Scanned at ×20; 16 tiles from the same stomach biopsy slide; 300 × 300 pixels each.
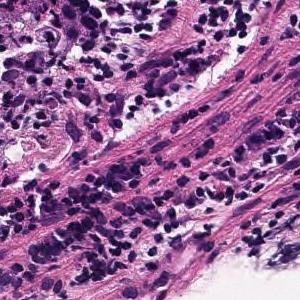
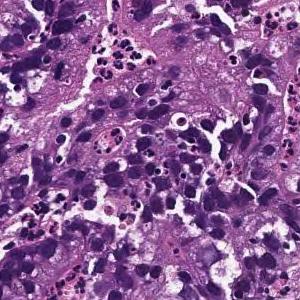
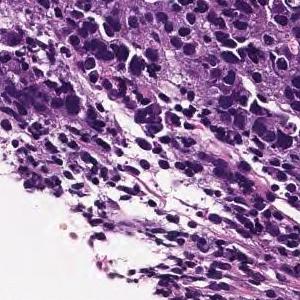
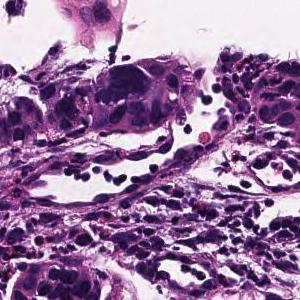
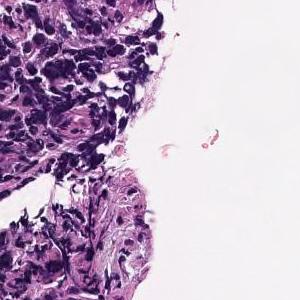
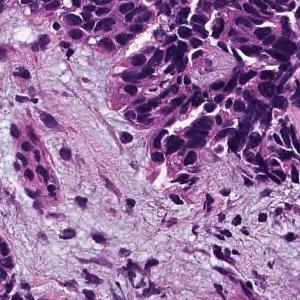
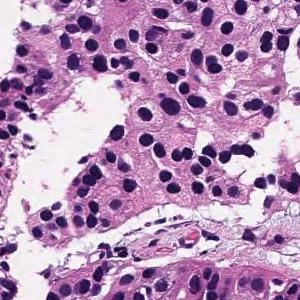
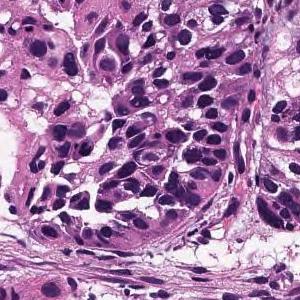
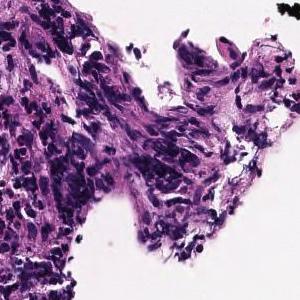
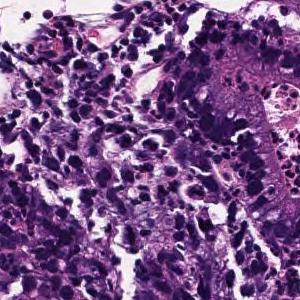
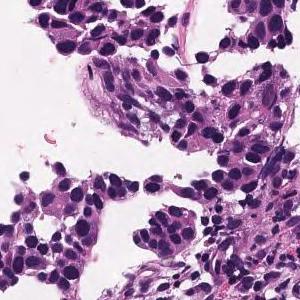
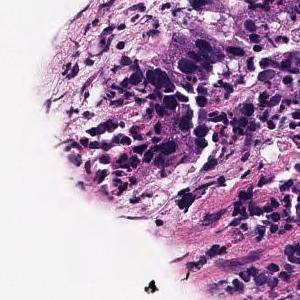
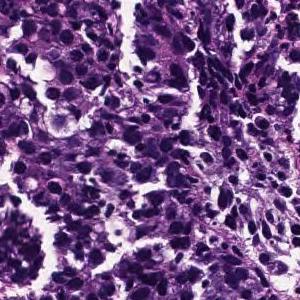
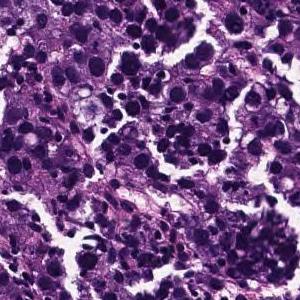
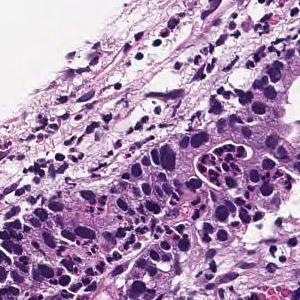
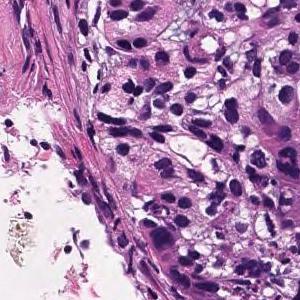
The pathologist's report on the biopsy slide these tiles were taken from. The findings and the diagnosis refer to the entire slide; these tiles show only part of it, possibly with non-tumor tissue, and may not show every feature named.
Medium to small, irregular glandular ducts are formed in the superficial epithelium, and in some cases, the glandular ducts are fused to show solid alveolar lesions and infiltrating tumor tissue is observed. Moderately to poorly differentiated adenocarcinoma.
